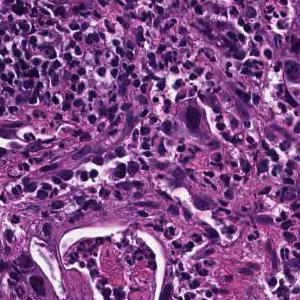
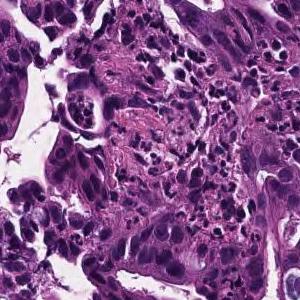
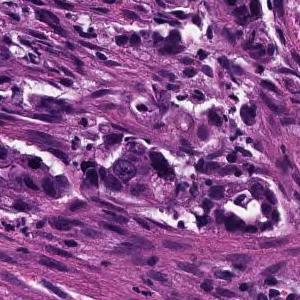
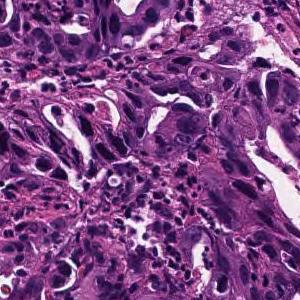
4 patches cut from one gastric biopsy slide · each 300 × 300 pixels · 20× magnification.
Pathology report for the slide these tiles were cut from. The report and the diagnosis cover the entire slide, so not every feature they name need be visible here, and some tissue shown may not be tumor.
In the superficial epithelium, medium-sized to small irregular glandular ducts are formed, and in some cases, the glandular ducts are fused or small cord-like infiltrating tumor tissue is observed. moderately differentiated tubular adenocarcinoma
